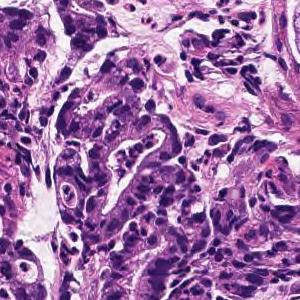
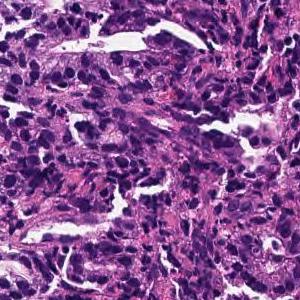
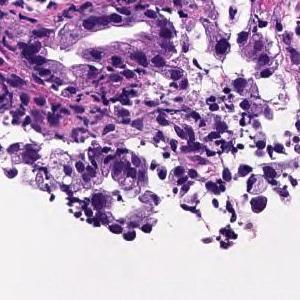
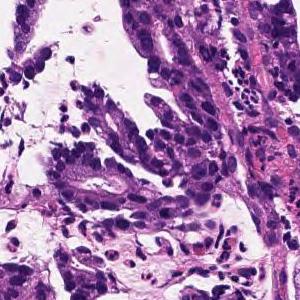
4 tiles cut from one stomach biopsy slide; hematoxylin and eosin stain.
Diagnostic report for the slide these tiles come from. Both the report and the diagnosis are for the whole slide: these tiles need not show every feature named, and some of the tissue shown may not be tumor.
On the superficial epithelium, tumor tissue consisting of large, irregular glandular ducts partially fused and infiltrated is observed. Well to moderately differentiated tubular adenocarcinoma (well differentiated tubular adenocarcinoma, moderately differentiated tubular adenocarcinoma)
Subtype: Well to moderately differentiated tubular adenocarcinoma.
